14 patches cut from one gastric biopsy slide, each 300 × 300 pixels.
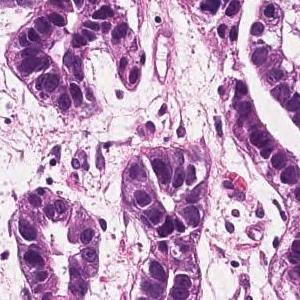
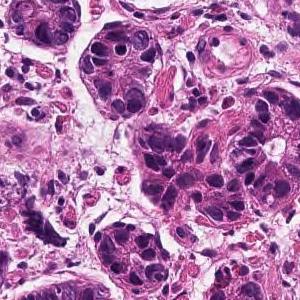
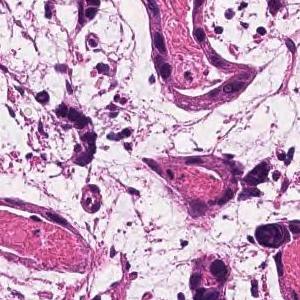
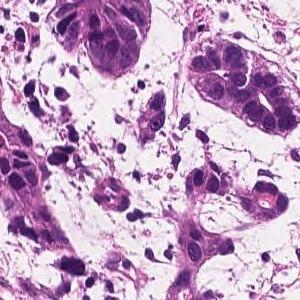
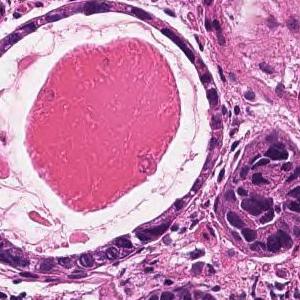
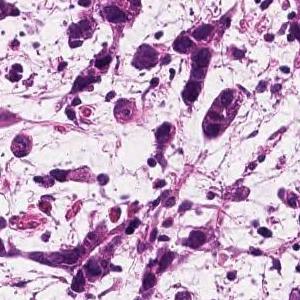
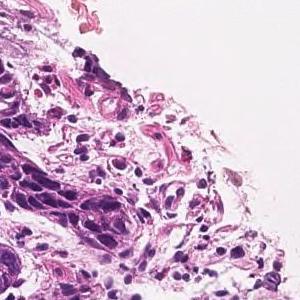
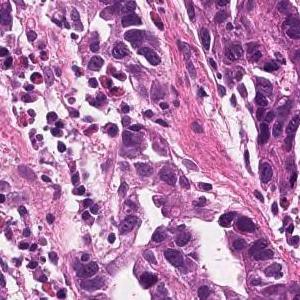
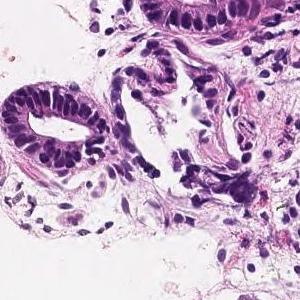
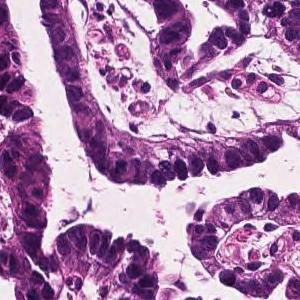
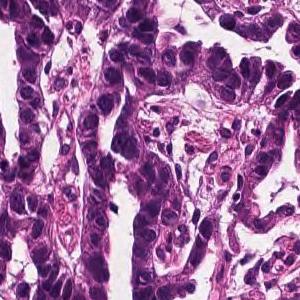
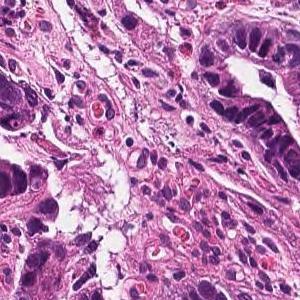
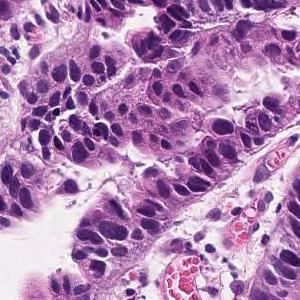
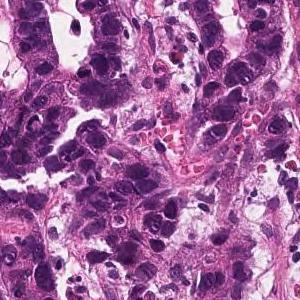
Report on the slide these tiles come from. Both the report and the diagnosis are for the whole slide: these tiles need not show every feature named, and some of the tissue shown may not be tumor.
In the superficial epithelium, tumor tissue that invades by forming medium-sized to small, irregular ducts is observed. Well differentiated tubular adenocarcinoma.
